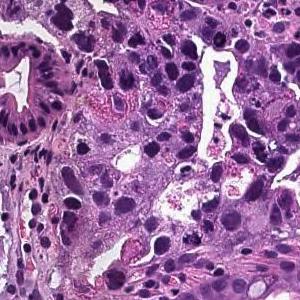
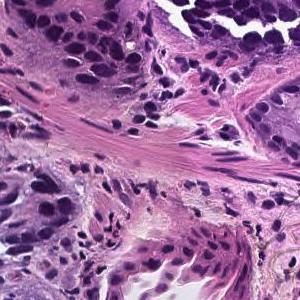
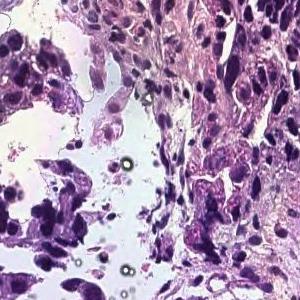
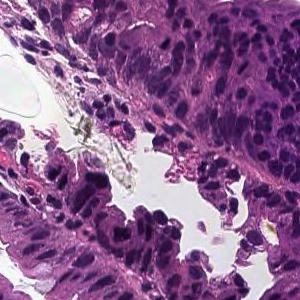
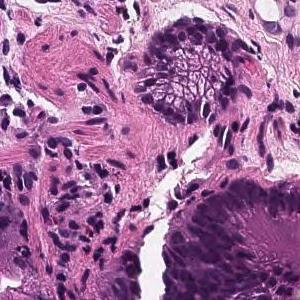
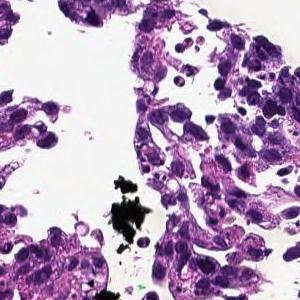
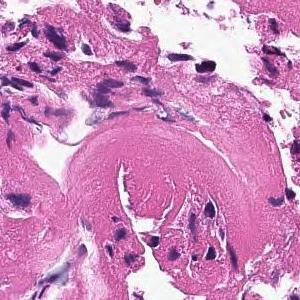
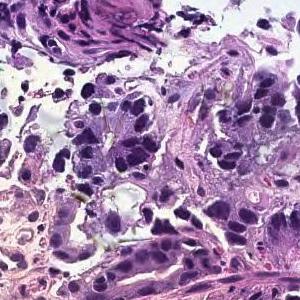
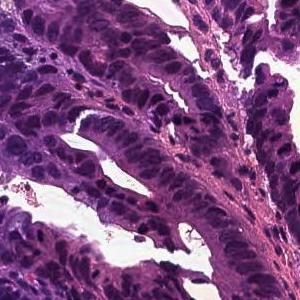
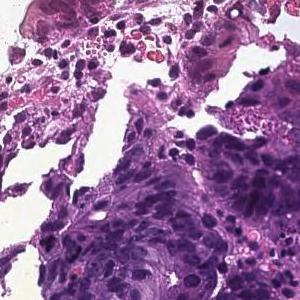
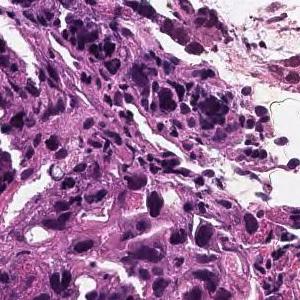
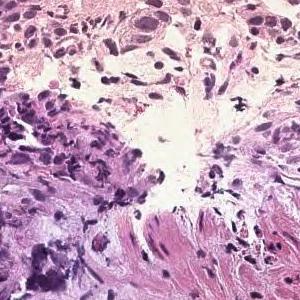
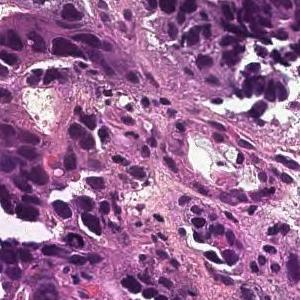
20× magnification, H&E stain, 13 tiles from the same stomach biopsy slide, 300×300 px each.
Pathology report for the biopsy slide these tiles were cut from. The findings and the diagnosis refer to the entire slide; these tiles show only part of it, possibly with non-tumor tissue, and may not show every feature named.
In the superficial epithelium, tumor tissue that invades by forming medium-sized to small, irregular ducts is observed. moderately differentiated tubular adenocarcinoma.
